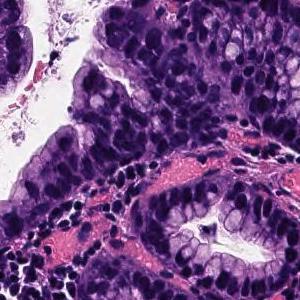
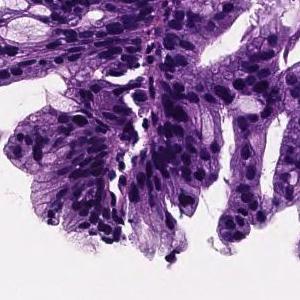
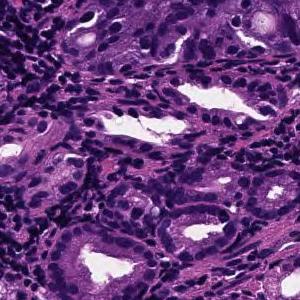
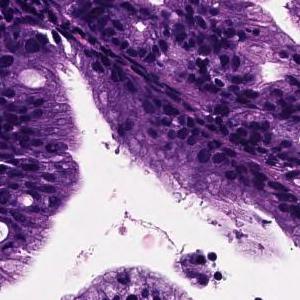
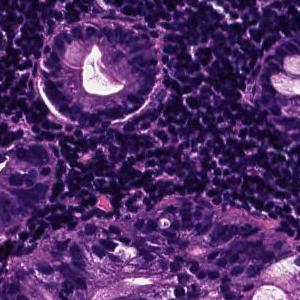
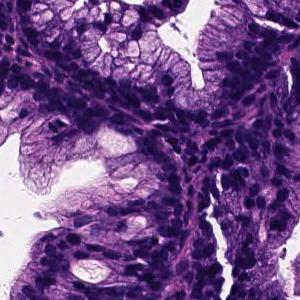
6 tiles cut from one stomach biopsy slide; 300×300 px each; hematoxylin and eosin stain; ×20.
Pathology report for the biopsy slide these tiles were cut from. What the report and the diagnosis say applies to the whole slide; these tiles may miss some of the features named and may include tissue that is not tumor.
On the superficial epithelium, tumor tissue that infiltrates by forming medium-sized papillary or small irregular ducts is observed. Papillary adenocarcinoma
